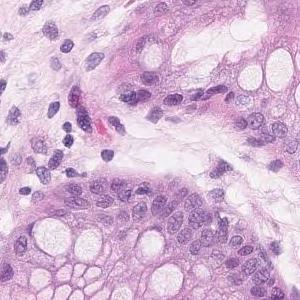
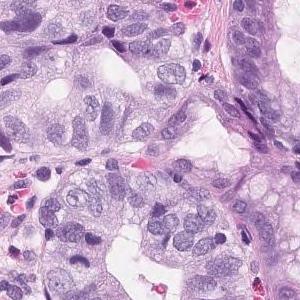
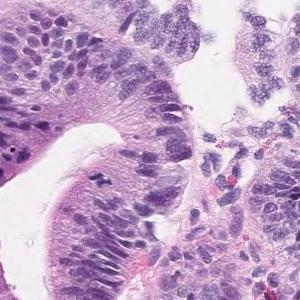
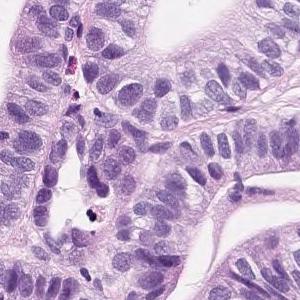
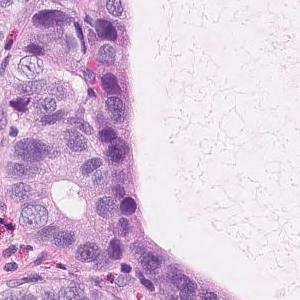
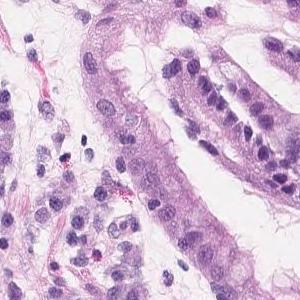
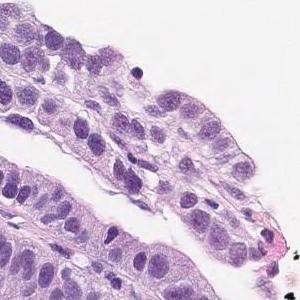
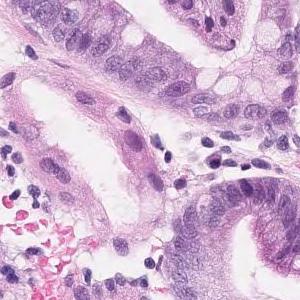
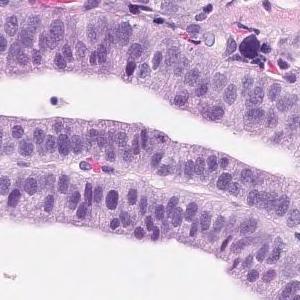
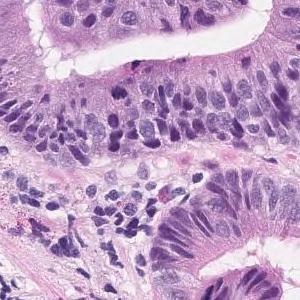
10 tiles cut from one stomach biopsy slide; each 300 × 300 pixels; 20× magnification.
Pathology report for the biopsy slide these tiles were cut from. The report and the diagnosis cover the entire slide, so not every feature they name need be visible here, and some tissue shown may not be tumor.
Short atypical epithelium with swelling of the nucleus shows proliferating, large and small irregular ductal structures. Well to moderately differentiated tubular adenocarcinoma (well differentiated tubular adenocarcinoma-moderately differentiated tubular adenocarcinoma)
Classified as well to moderately differentiated tubular adenocarcinoma.
